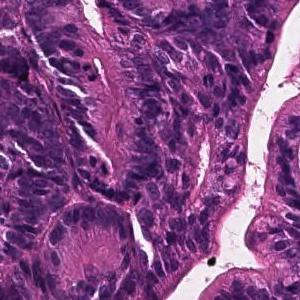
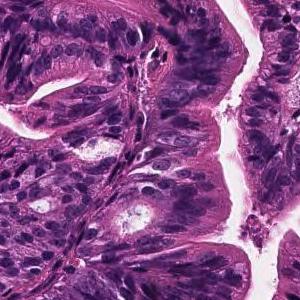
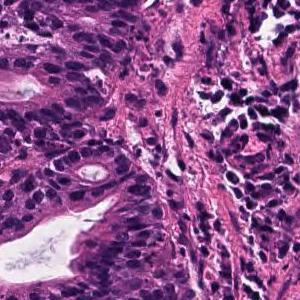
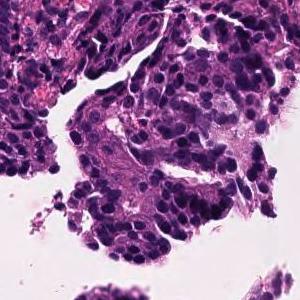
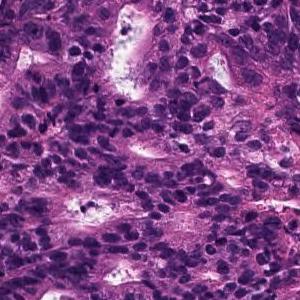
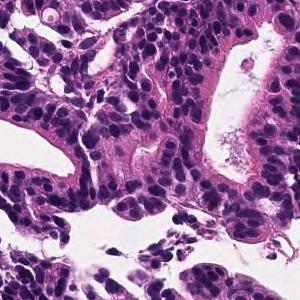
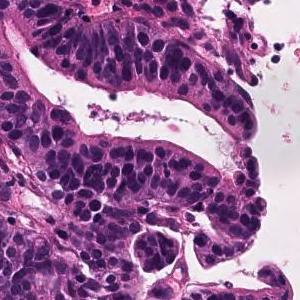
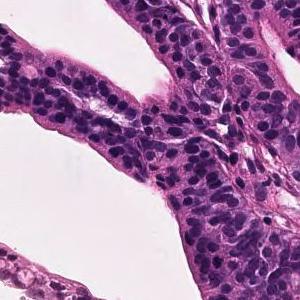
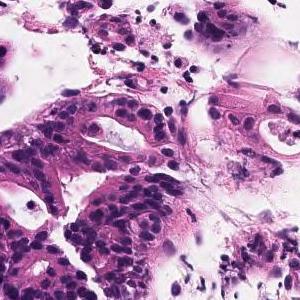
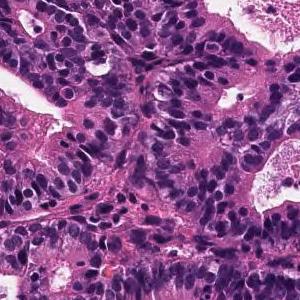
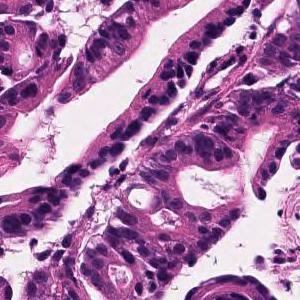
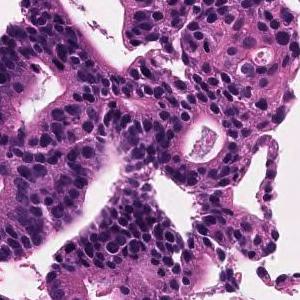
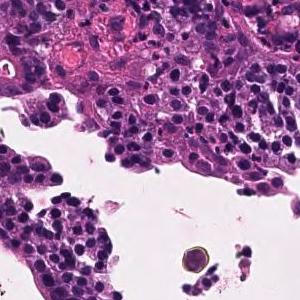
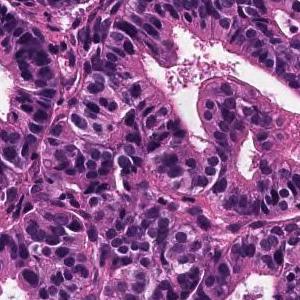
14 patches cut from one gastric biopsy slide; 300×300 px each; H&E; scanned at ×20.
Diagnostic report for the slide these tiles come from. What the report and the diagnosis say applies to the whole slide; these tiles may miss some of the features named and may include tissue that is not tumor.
In the superficial epithelium, tumor tissue that invades by forming medium-sized to small, irregular ducts is observed. Moderately differentiated adenocarcinoma.
Tumor subtype: moderately differentiated tubular adenocarcinoma.
